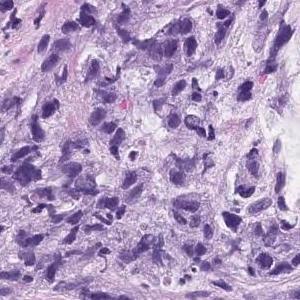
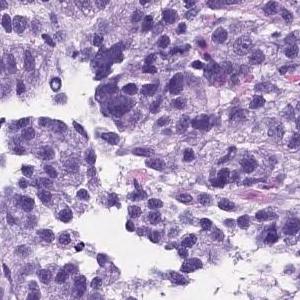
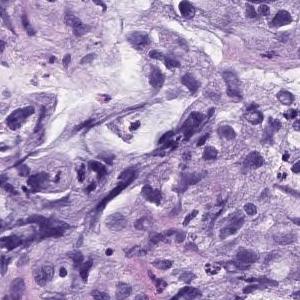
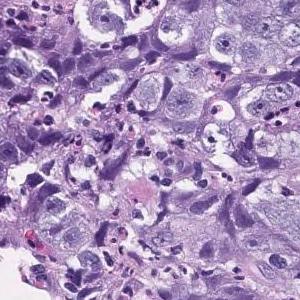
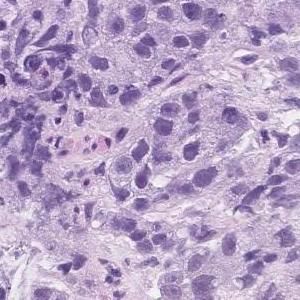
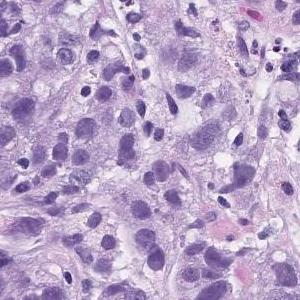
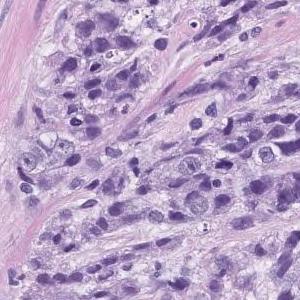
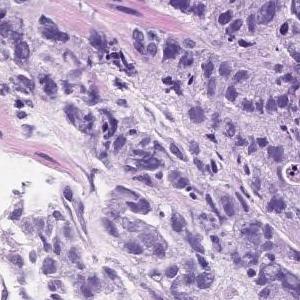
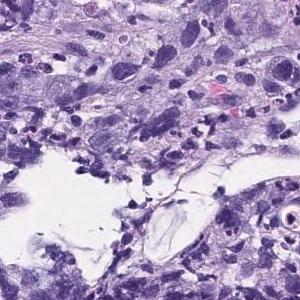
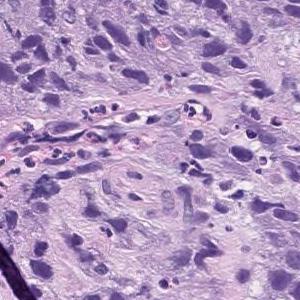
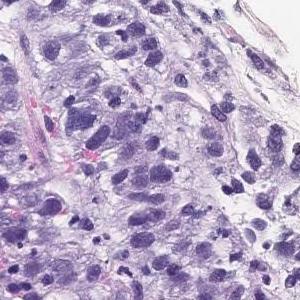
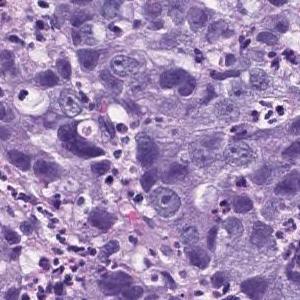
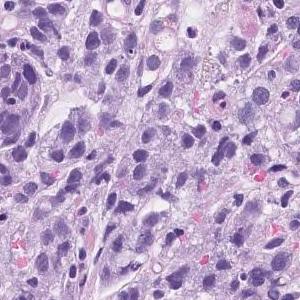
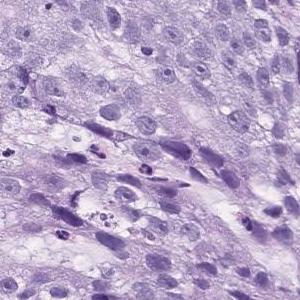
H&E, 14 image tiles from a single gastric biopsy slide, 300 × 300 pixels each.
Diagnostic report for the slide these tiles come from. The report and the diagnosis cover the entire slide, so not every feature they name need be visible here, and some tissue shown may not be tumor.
Atypical l cells with atypical nuclei forming solid vesicles or small irregular atypical ducts that proliferate in a complex manner. poorly differentiated adenocarcinoma, solid type, moderately differentiated tubular adenocarcinoma
The solid type named here is a Japanese Classification of Gastric Carcinoma category; WHO 2019 calls it tubular adenocarcinoma, poorly differentiated.
